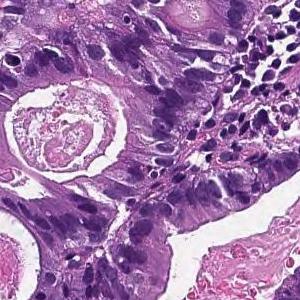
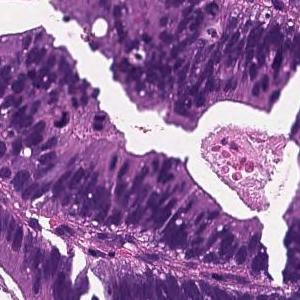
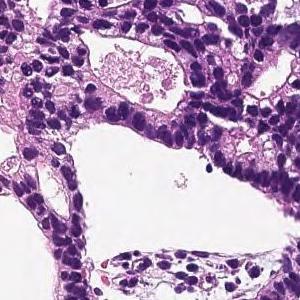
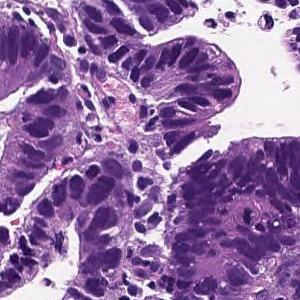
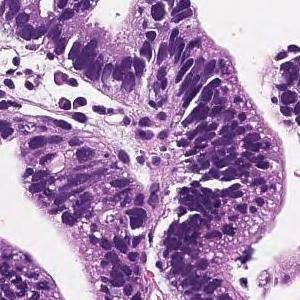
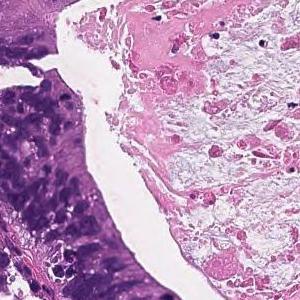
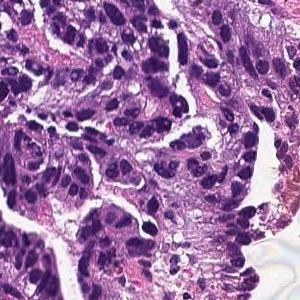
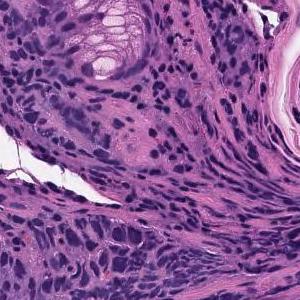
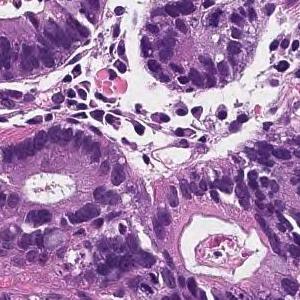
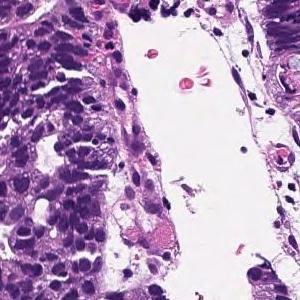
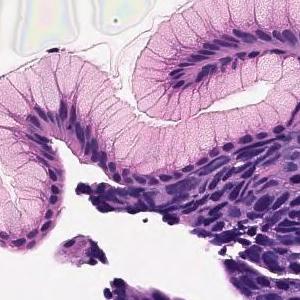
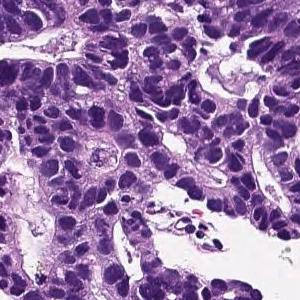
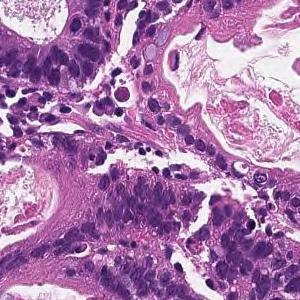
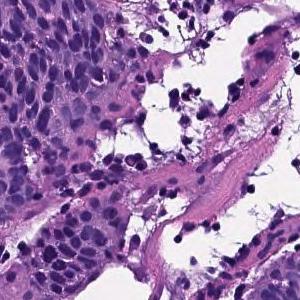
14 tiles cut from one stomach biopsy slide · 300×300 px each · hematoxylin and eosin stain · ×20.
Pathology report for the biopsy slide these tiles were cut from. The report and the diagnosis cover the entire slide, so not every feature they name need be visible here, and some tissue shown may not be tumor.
In the superficial epithelium, tumor tissue that invades by forming medium-sized to small, irregular ducts is observed. moderately differentiated tubular adenocarcinoma.
